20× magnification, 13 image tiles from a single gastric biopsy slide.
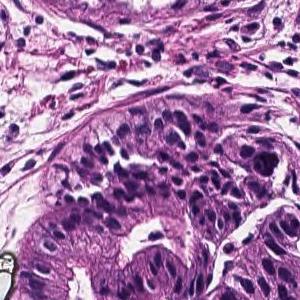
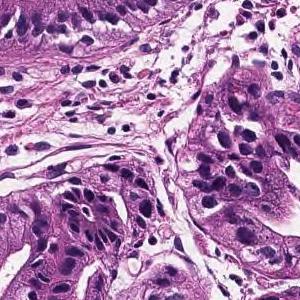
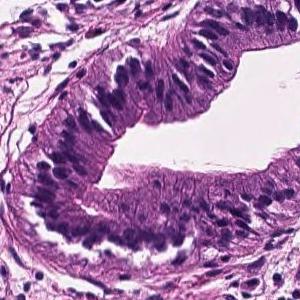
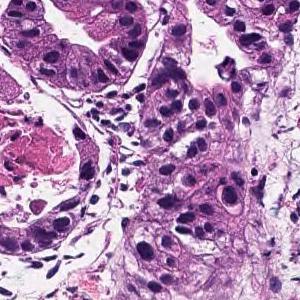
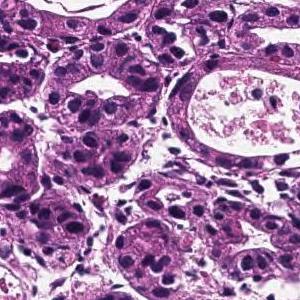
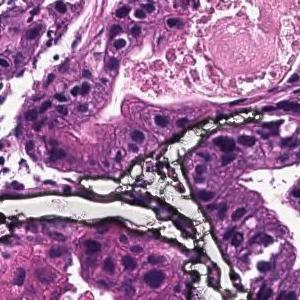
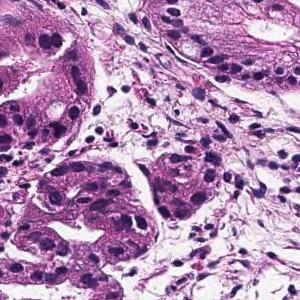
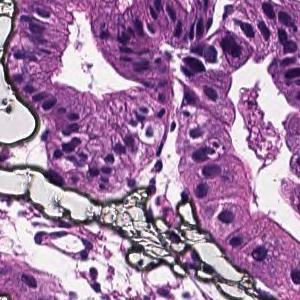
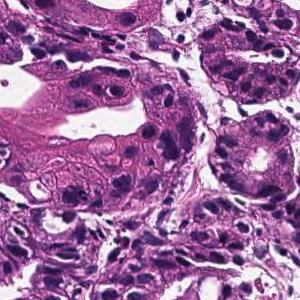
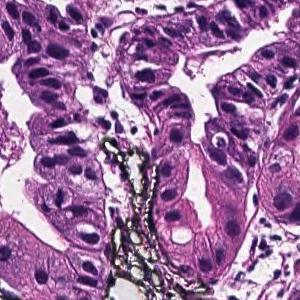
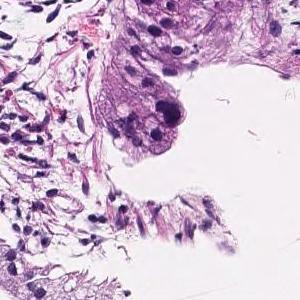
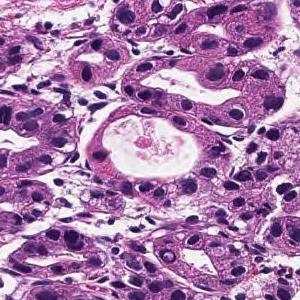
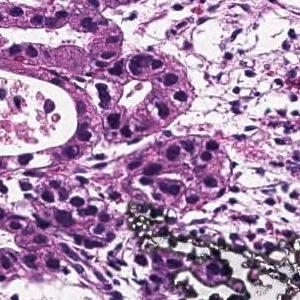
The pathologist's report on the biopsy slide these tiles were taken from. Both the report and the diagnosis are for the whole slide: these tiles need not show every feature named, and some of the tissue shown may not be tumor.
On the superficial epithelium, tumor tissue consisting of large, irregular glandular ducts partially fused and infiltrated is observed. Well to moderately differentiated tubular adenocarcinoma (well differentiated tubular adenocarcinoma, moderately differentiated tubular adenocarcinoma)
Tumor subtype: well to moderately differentiated tubular adenocarcinoma.
